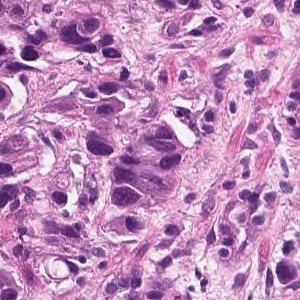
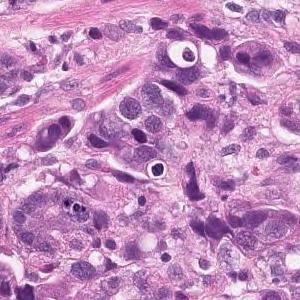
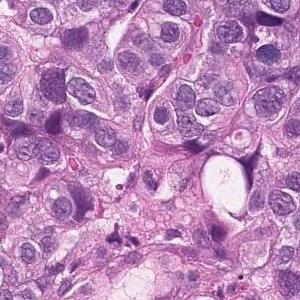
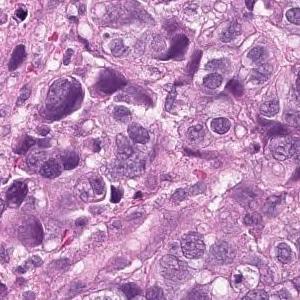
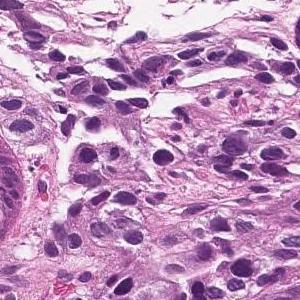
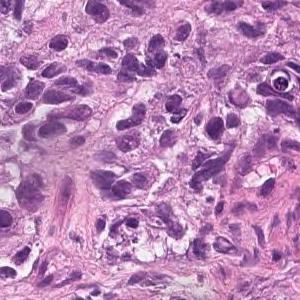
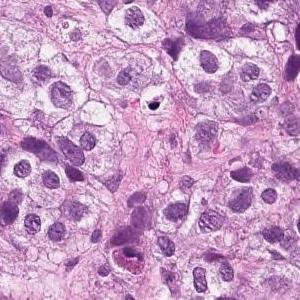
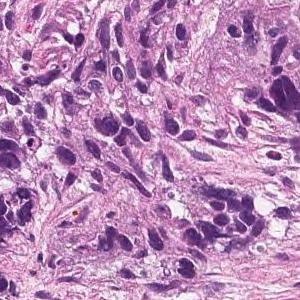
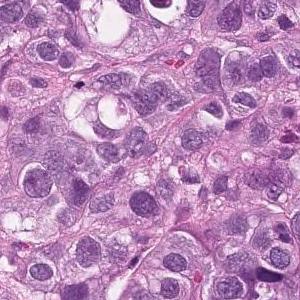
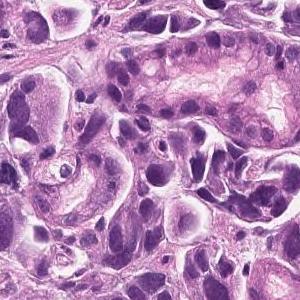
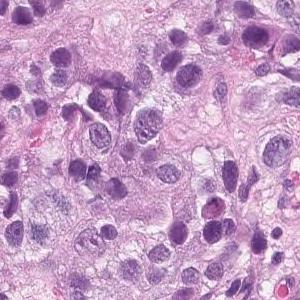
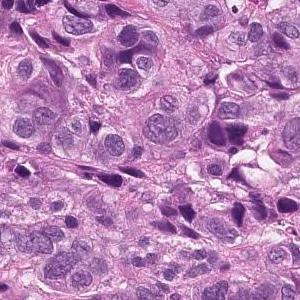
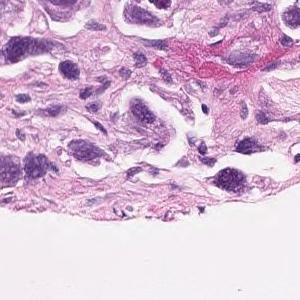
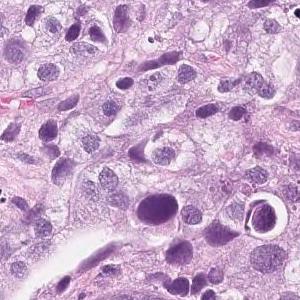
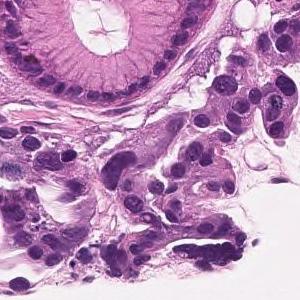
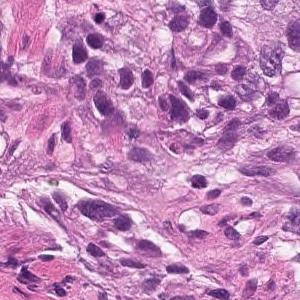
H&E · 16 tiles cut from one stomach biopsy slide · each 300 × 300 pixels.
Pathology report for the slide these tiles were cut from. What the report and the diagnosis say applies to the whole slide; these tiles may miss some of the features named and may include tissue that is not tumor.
Tumor tissue that infiltrates the epithelium in an alveolar manner. Poorly differentiated adenocarcinoma, solid-type
Classified as poorly differentiated adenocarcinoma, solid type (Japanese Classification of Gastric Carcinoma). The WHO 2019 equivalent is tubular adenocarcinoma, poorly differentiated.
